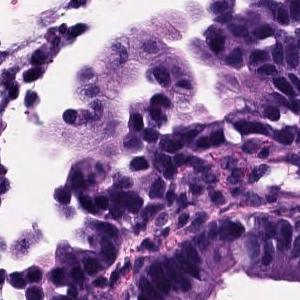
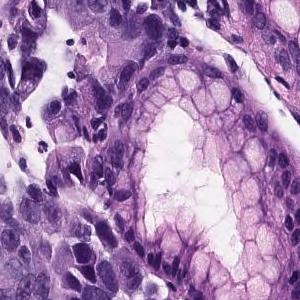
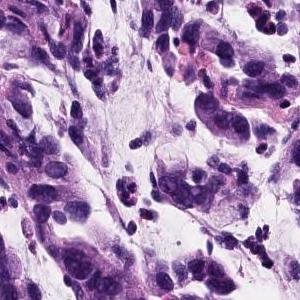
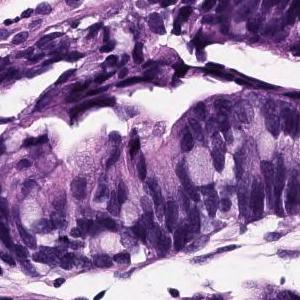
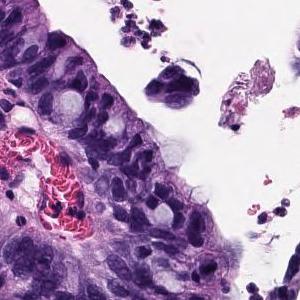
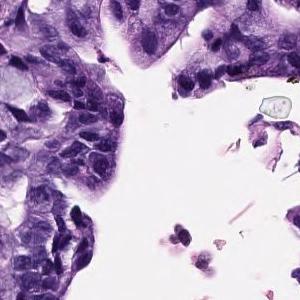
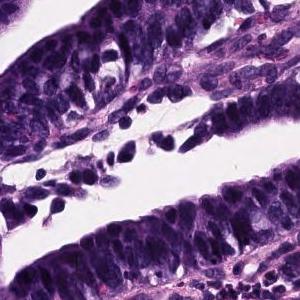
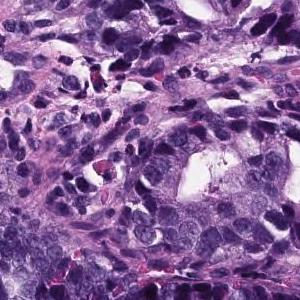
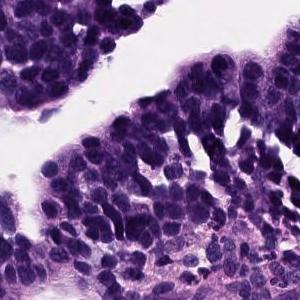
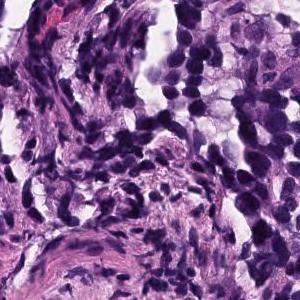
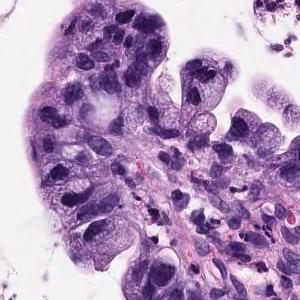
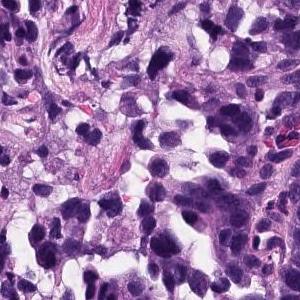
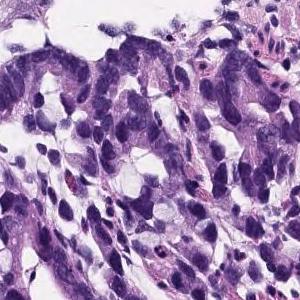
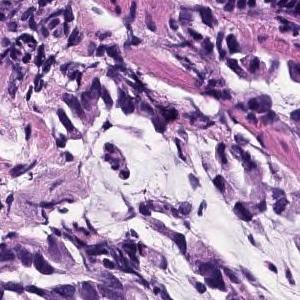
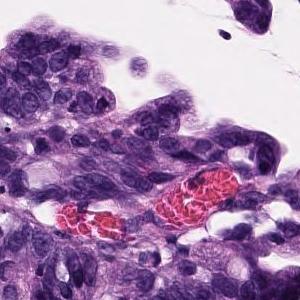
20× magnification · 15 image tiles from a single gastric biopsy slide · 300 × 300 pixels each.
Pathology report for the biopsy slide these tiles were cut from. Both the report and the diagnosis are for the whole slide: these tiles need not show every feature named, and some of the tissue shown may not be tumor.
Atypical epithelium proliferating showing villus construction and irregular gland duct construction is observed. Moderately differentiated tubular adenocarcinoma.
